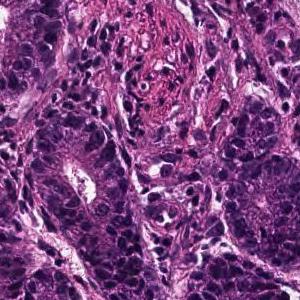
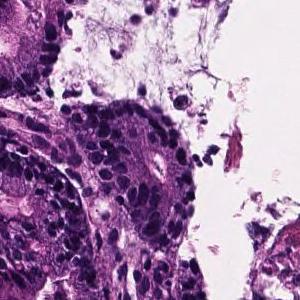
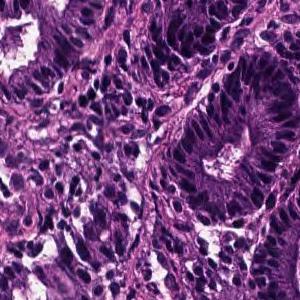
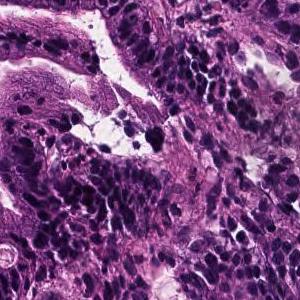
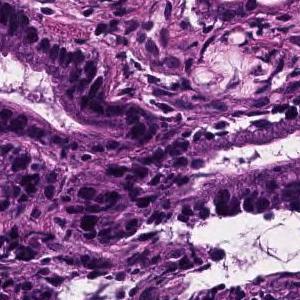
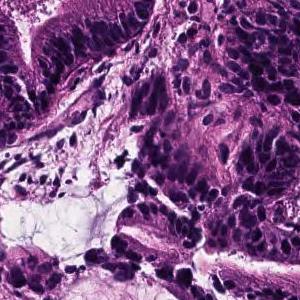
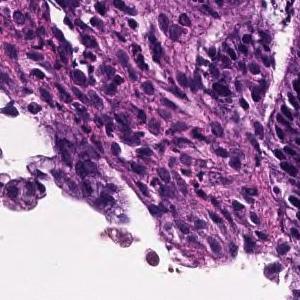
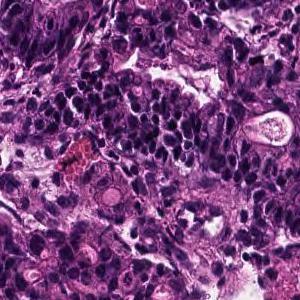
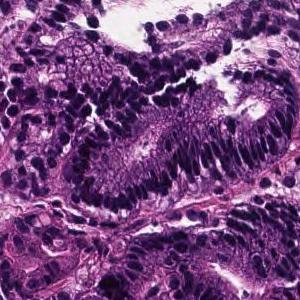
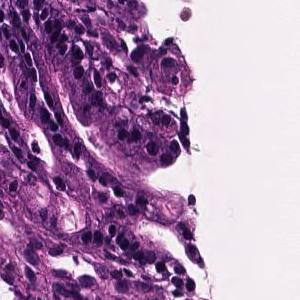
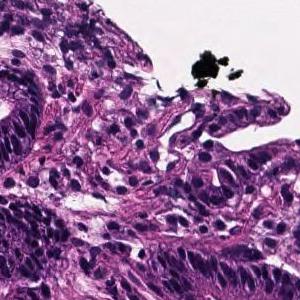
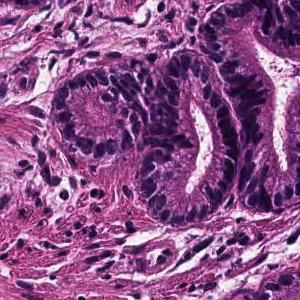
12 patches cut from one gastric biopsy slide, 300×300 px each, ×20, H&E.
Pathology report for the biopsy slide these tiles were cut from. The report and the diagnosis describe the slide as a whole, so these tiles may not show every feature named and may include non-tumor tissue.
In the superficial epithelium, tumor tissue that invades by forming medium-sized to small, irregular ducts is observed. Well differentiated tubular adenocarcinoma.
